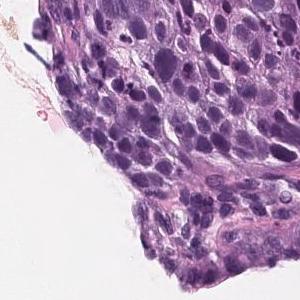
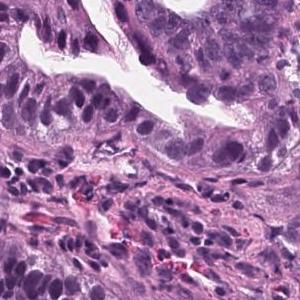
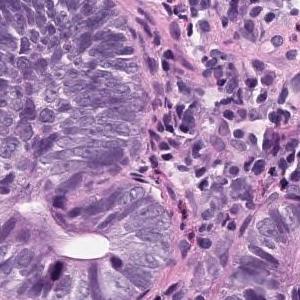
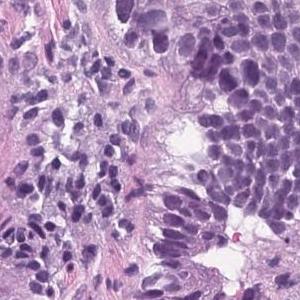
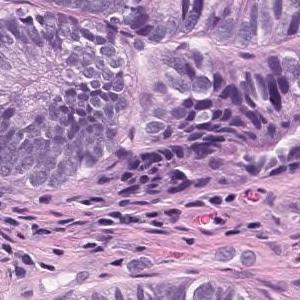
H&E stain · 5 patches cut from one gastric biopsy slide · 300×300 px each.
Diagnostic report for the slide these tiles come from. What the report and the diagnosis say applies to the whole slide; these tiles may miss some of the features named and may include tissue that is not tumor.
Tumor tissue consisting of medium-sized and irregular ducts is observed infiltrating in the superficial epithelium. Tumor cells are highly columnar, with nuclei aligned basolaterally and polarized. Well differentiated tubular adenocarcinoma.
